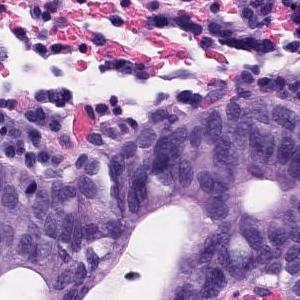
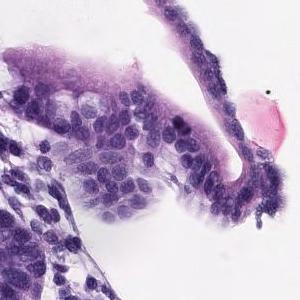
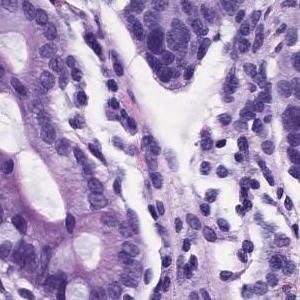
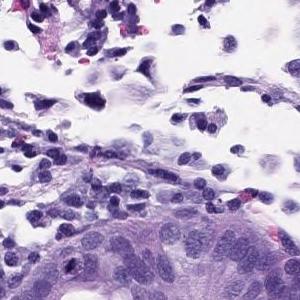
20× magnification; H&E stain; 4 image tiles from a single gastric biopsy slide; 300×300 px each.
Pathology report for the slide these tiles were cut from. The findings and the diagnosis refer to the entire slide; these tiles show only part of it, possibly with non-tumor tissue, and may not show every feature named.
In the superficial epithelium, tumor tissue that invades by forming medium-sized to small, irregular ducts is observed. Moderately differentiated adenocarcinoma.
Subtype: Moderately differentiated tubular adenocarcinoma.
